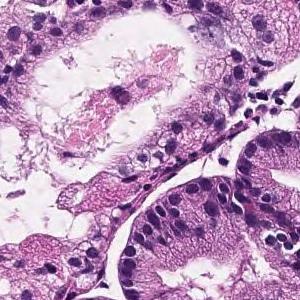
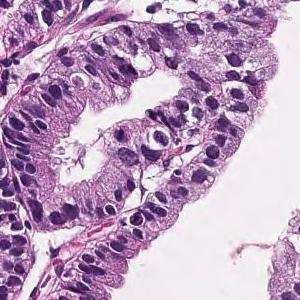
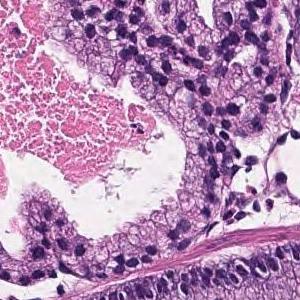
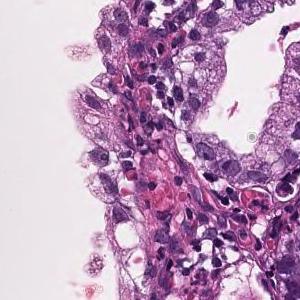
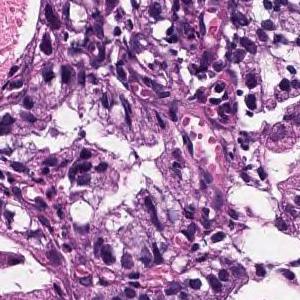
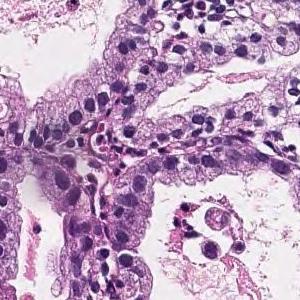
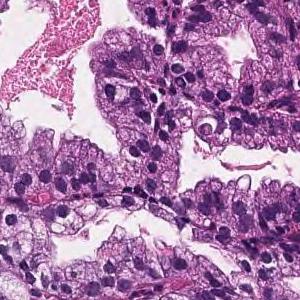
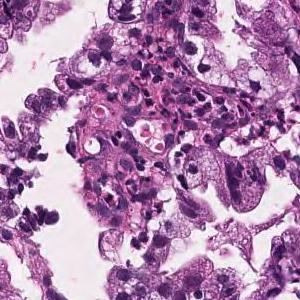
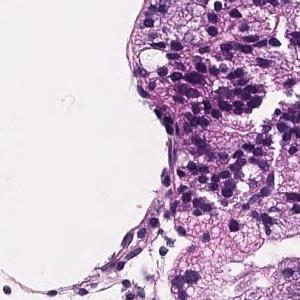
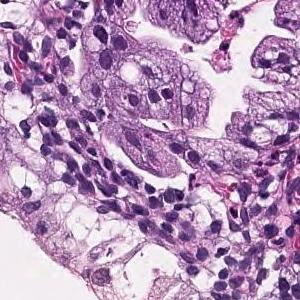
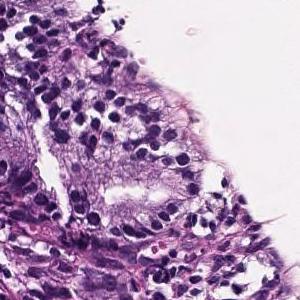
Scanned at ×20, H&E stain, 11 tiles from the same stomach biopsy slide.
The pathologist's report on the biopsy slide these tiles were taken from. The report and the diagnosis describe the slide as a whole, so these tiles may not show every feature named and may include non-tumor tissue.
In the superficial epithelium, tumor tissue that infiltrates by forming medium-sized papillary or small irregular ducts is observed. Papillary adenocarcinoma
